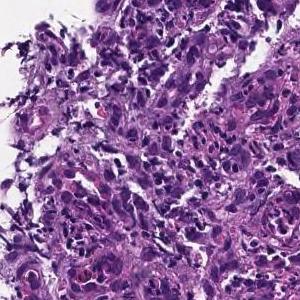
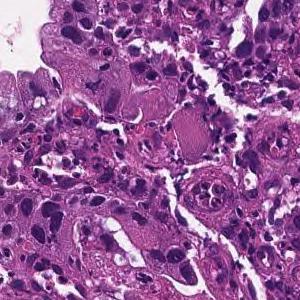
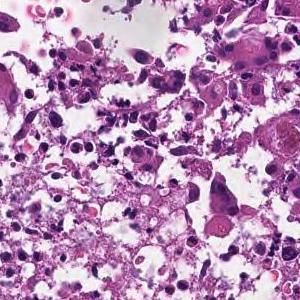
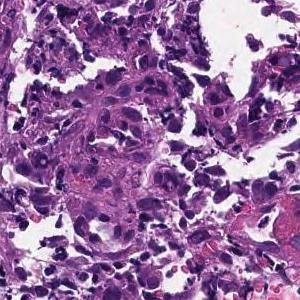
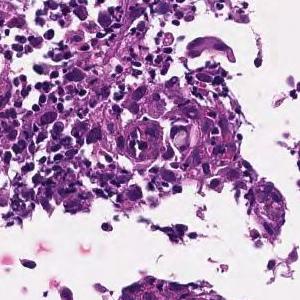
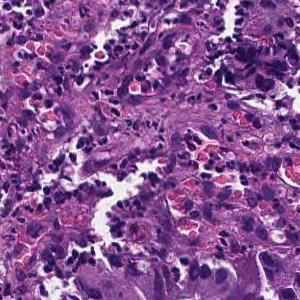
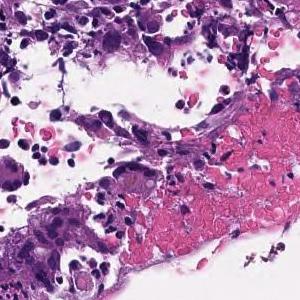
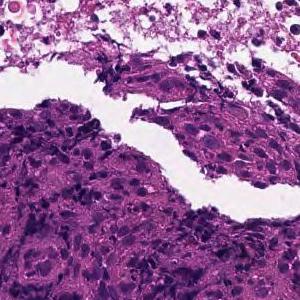
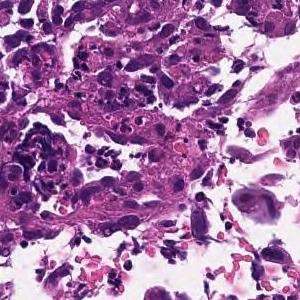
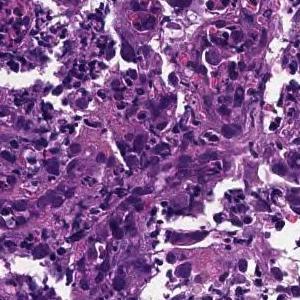
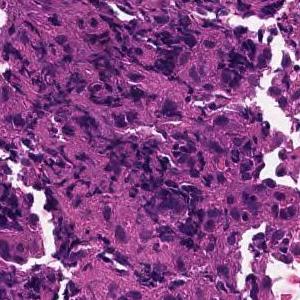
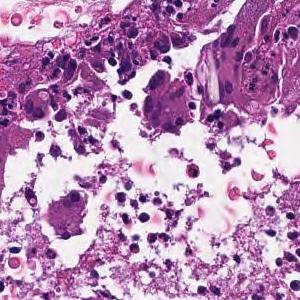
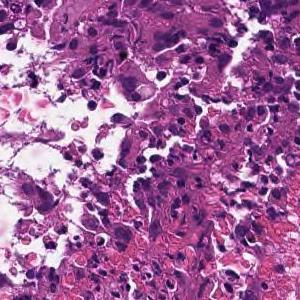
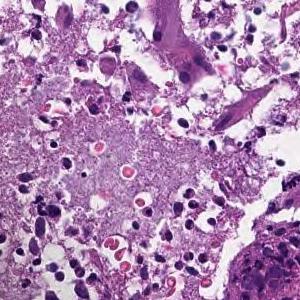
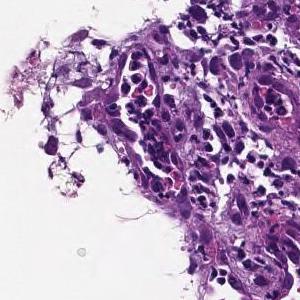
×20 · 15 image tiles from a single gastric biopsy slide · each 300 × 300 pixels.
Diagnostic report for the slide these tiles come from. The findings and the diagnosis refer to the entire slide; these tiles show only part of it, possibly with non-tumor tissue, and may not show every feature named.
Tumor cells are medium to large, cuboidal, and have little tendency to differentiate. Poorly differentiated adenocarcinoma, solid-type  or moderately differentiated tubular adenocarcinoma
The dataset labels this slide poorly differentiated adenocarcinoma, solid type (Japanese Classification of Gastric Carcinoma). The WHO 2019 equivalent is tubular adenocarcinoma, poorly differentiated.
